H&E stain; 12 tiles from the same stomach biopsy slide; 300×300 px each.
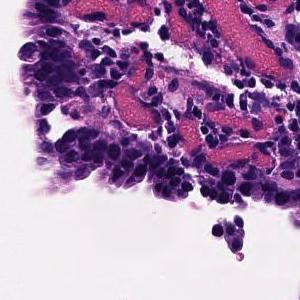
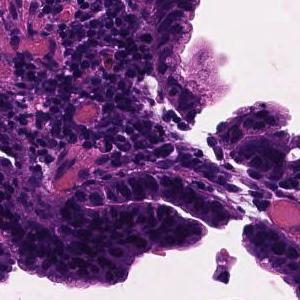
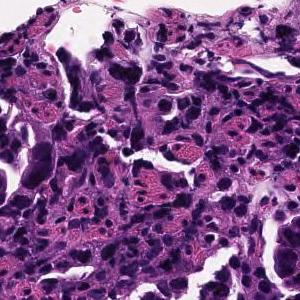
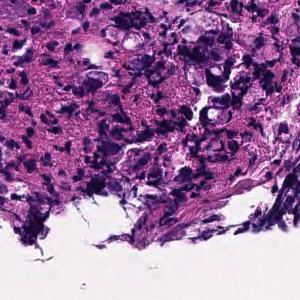
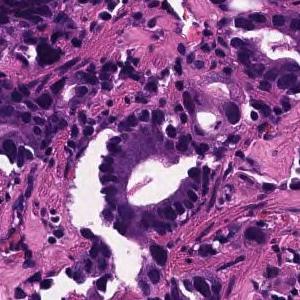
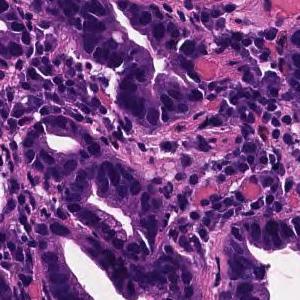
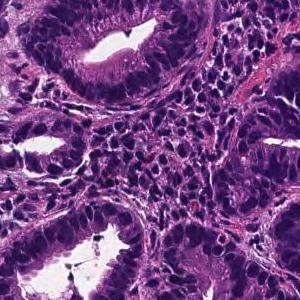
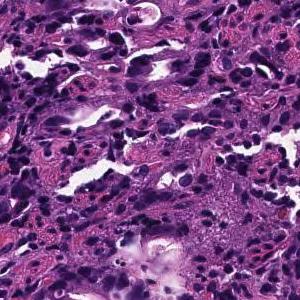
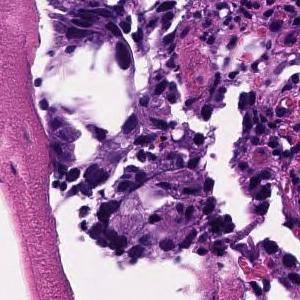
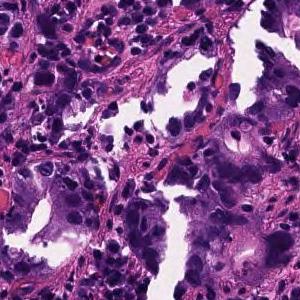
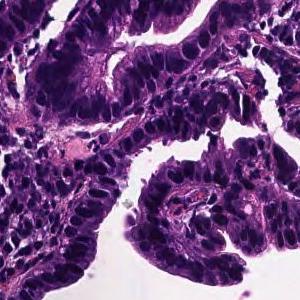
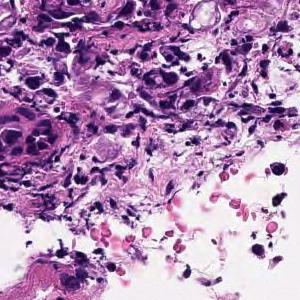
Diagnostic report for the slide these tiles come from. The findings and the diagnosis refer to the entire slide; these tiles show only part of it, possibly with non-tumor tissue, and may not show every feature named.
On the superficial epithelium, tumor tissue that infiltrates by forming medium-sized papillary or small irregular ducts is observed. Papillary adenocarcinoma
